H&E stain; 20× magnification; 16 tiles cut from one stomach biopsy slide.
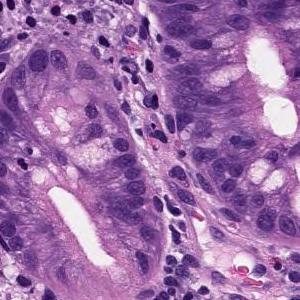
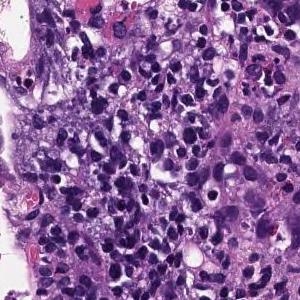
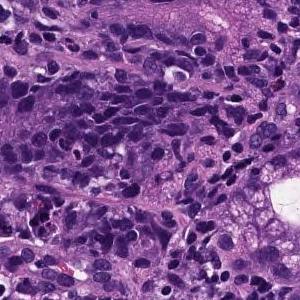
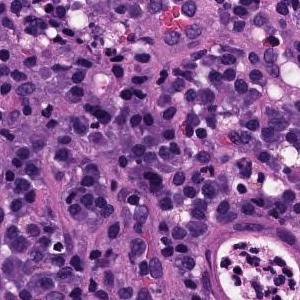
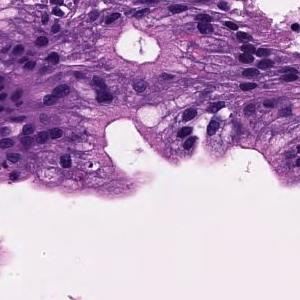
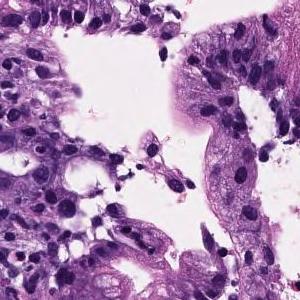
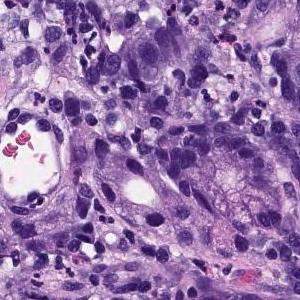
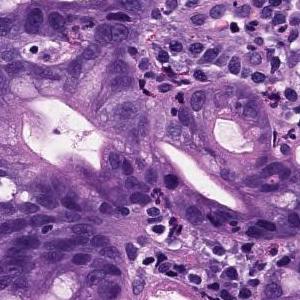
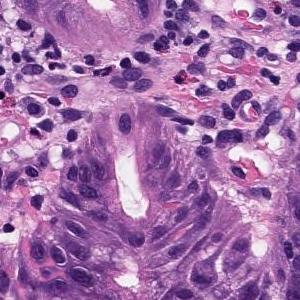
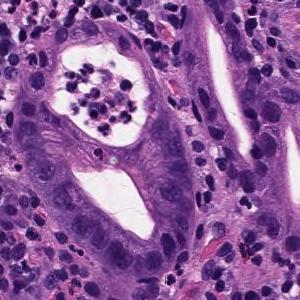
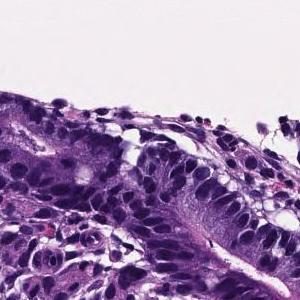
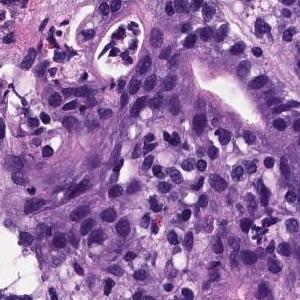
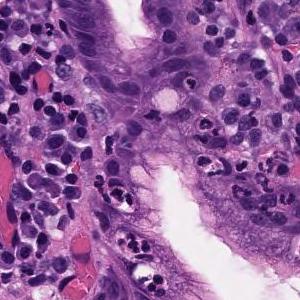
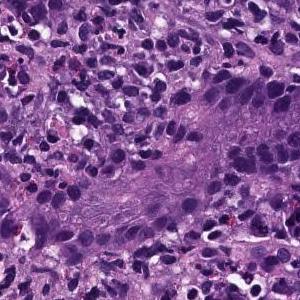
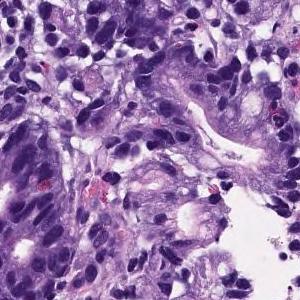
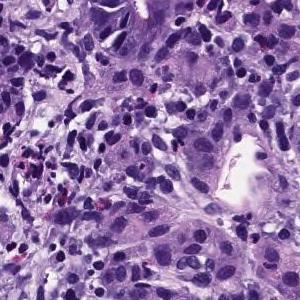
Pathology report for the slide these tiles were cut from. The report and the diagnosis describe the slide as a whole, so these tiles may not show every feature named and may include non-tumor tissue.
Medium to small, irregular glandular ducts are formed in the superficial epithelium, and in some cases, the glandular ducts are fused to show solid alveolar lesions and infiltrating tumor tissue is observed. Moderately to poorly differentiated adenocarcinoma.
